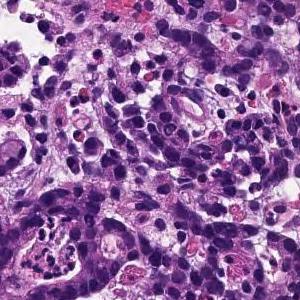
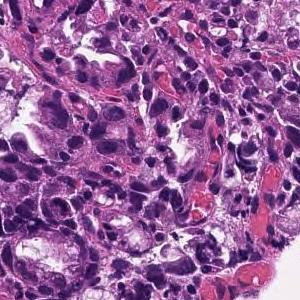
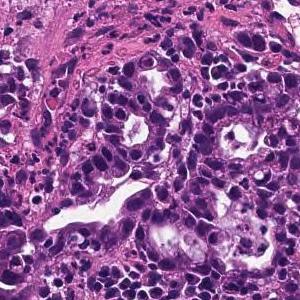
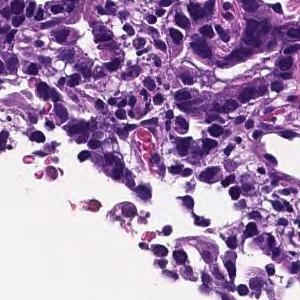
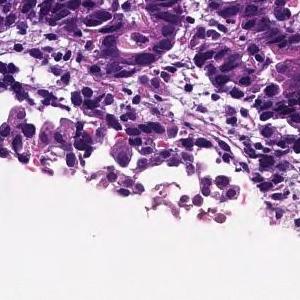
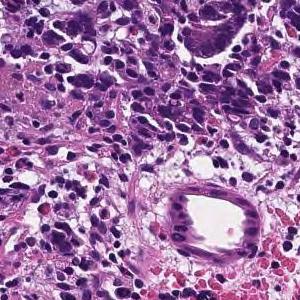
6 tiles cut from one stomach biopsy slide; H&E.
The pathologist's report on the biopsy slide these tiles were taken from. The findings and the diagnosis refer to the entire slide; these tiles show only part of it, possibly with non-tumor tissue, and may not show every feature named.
In the superficial epithelium, tumor tissue that invades by forming medium-sized to small, irregular ducts is observed. moderately differentiated tubular adenocarcinoma.
